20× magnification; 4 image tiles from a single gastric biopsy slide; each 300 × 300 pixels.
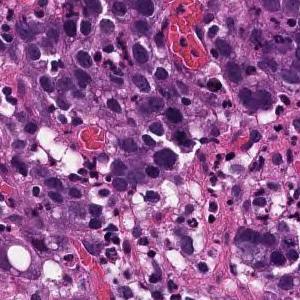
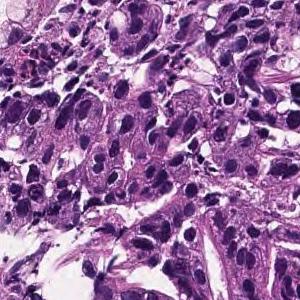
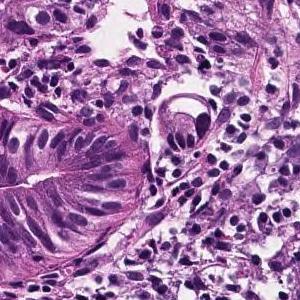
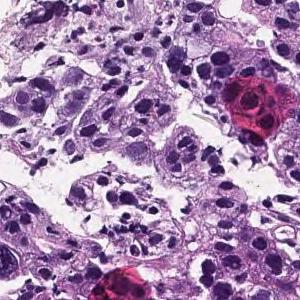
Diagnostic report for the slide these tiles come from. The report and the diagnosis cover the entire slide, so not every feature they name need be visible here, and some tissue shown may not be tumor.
In the superficial epithelium, tumor tissue that invades by forming medium-sized to small, irregular ducts is observed. moderately differentiated tubular adenocarcinoma.
